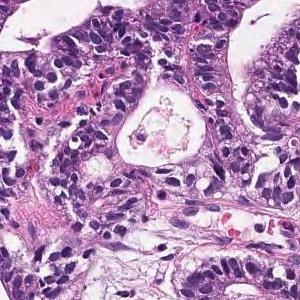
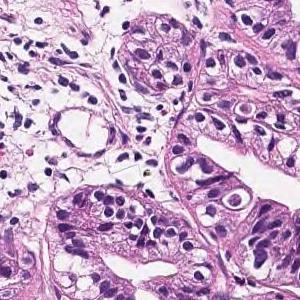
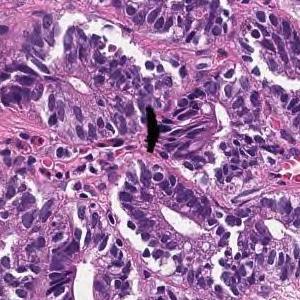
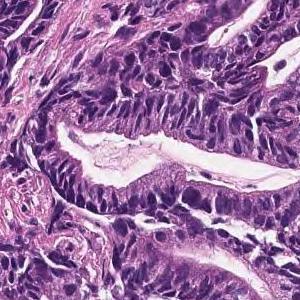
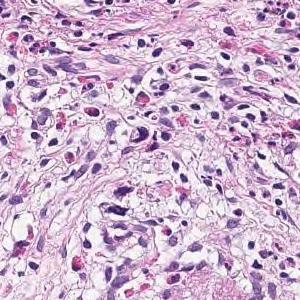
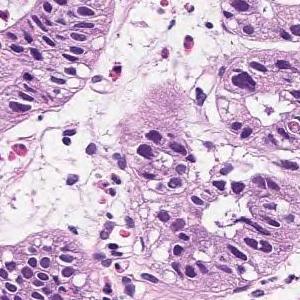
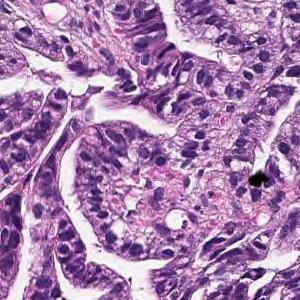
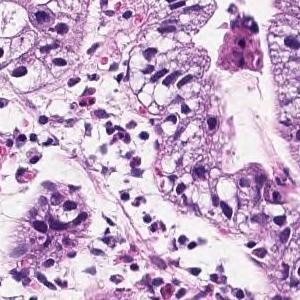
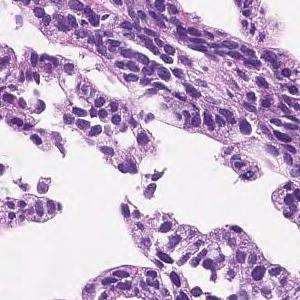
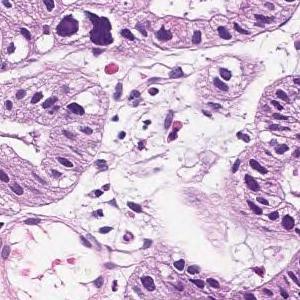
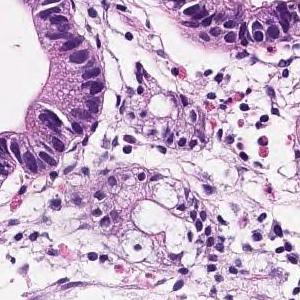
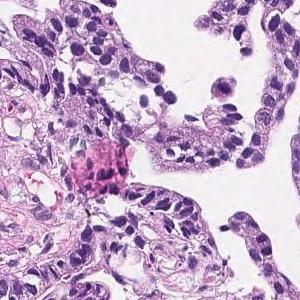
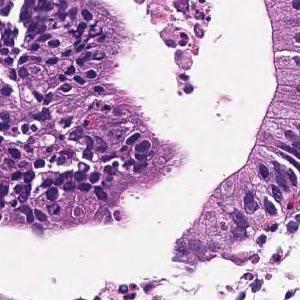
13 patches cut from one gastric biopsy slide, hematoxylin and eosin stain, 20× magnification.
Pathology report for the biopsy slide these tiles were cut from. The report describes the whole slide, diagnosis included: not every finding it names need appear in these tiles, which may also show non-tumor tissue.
In the superficial epithelium, tumor tissue that invades by forming medium-sized to small, irregular ducts is observed. Moderately differentiated adenocarcinoma.
Subtype: Moderately differentiated tubular adenocarcinoma.
